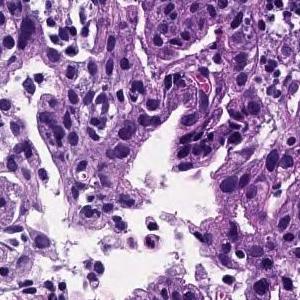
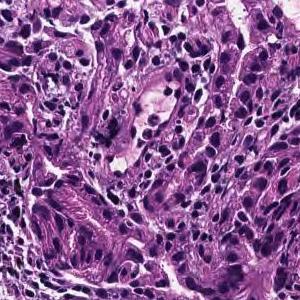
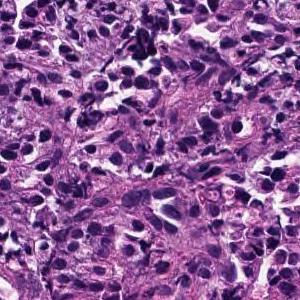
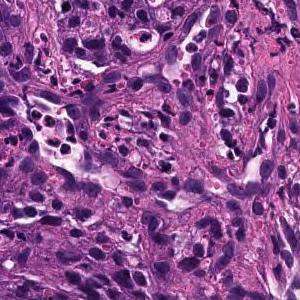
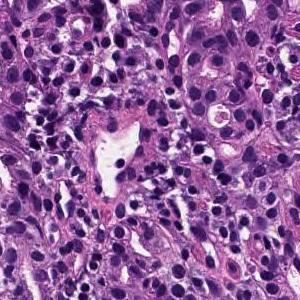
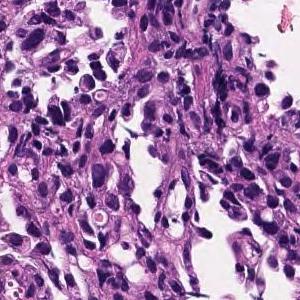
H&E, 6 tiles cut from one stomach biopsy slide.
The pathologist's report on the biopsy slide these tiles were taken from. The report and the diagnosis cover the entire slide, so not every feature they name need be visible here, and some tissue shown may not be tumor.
Medium to small, irregular glandular ducts are formed in the superficial epithelium, and in some cases, the glandular ducts are fused to show solid alveolar lesions and infiltrating tumor tissue is observed. Moderately to poorly differentiated adenocarcinoma.
